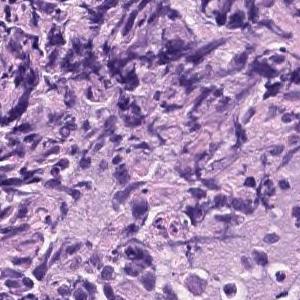
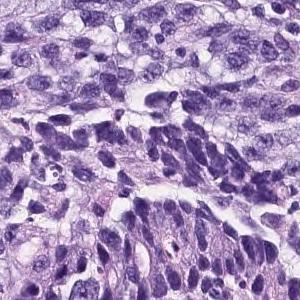
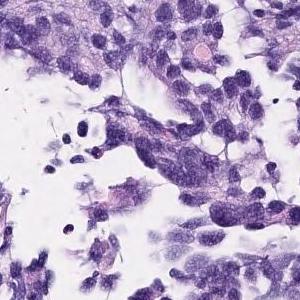
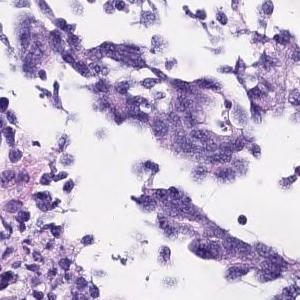
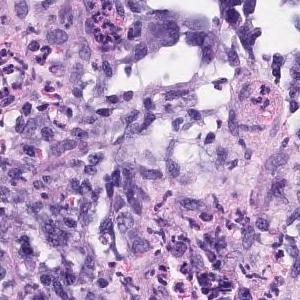
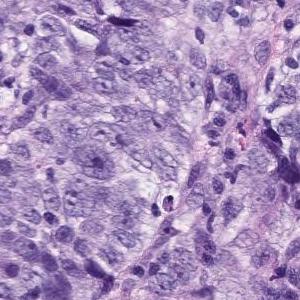
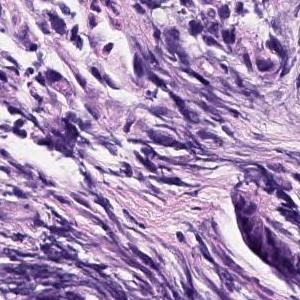
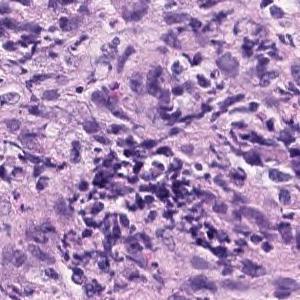
8 tiles from the same stomach biopsy slide · 300×300 px each · ×20 · H&E.
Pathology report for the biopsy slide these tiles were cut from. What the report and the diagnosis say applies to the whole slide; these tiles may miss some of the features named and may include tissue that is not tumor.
The superficial epithelium shows a large sheet-like shape, and some tumor tissue infiltrates with small irregular ducts. Poorly differentiated adenocarcinoma, solid-type
Histologic type: Poorly differentiated adenocarcinoma, solid type. This name comes from the Japanese Classification of Gastric Carcinoma; the WHO 2019 classification calls it tubular adenocarcinoma, poorly differentiated.
